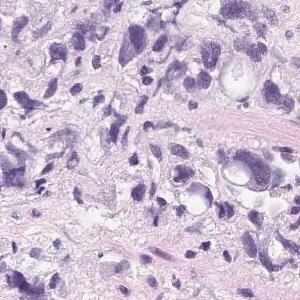
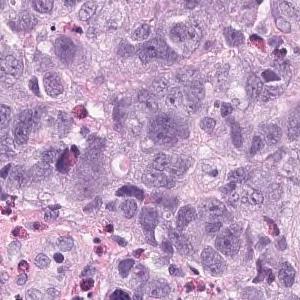
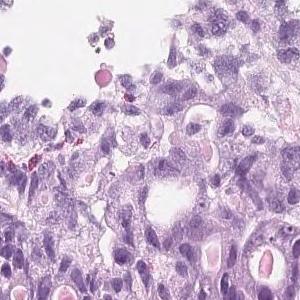
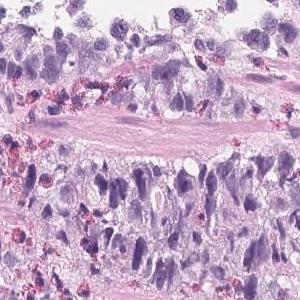
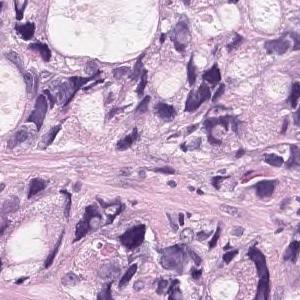
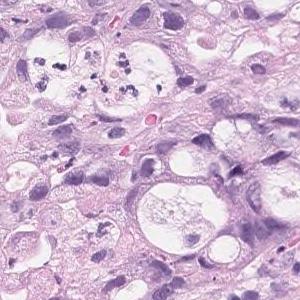
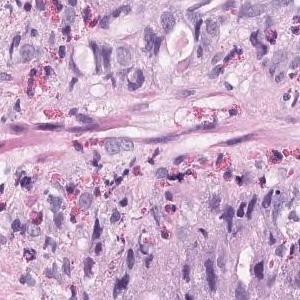
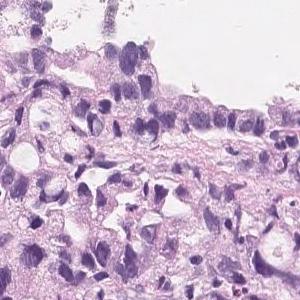
Scanned at ×20; H&E stain; 8 image tiles from a single gastric biopsy slide; 300 × 300 pixels each.
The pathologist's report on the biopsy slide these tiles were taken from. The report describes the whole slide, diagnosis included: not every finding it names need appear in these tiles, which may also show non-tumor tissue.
Tumor tissue that infiltrates and proliferates by forming small glandular cavities in the superficial layer to the submucosa or forming a mass is observed. moderately differentiated tubular adenocarcinoma
